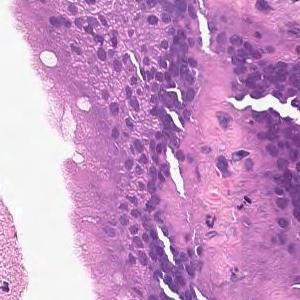
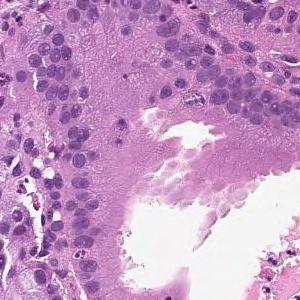
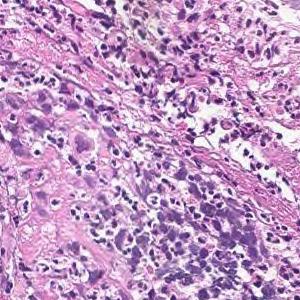
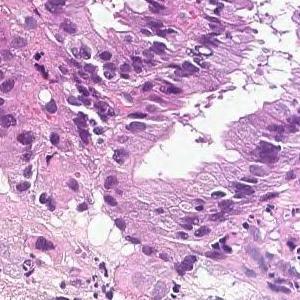
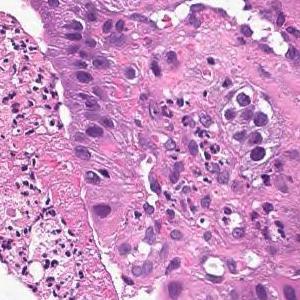
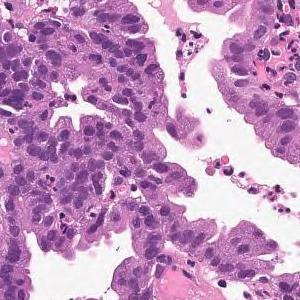
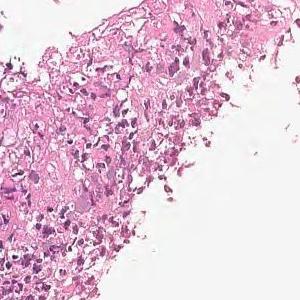
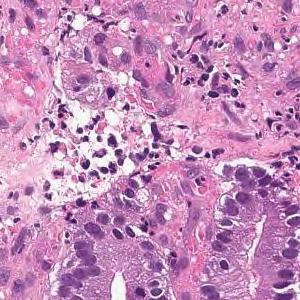
8 tiles cut from one stomach biopsy slide; each 300 × 300 pixels; 20× magnification; hematoxylin and eosin stain.
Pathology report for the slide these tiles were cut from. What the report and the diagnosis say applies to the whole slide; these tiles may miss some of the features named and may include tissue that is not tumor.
From the superficial epithelium to the muscularis mucosae, tumor tissue consisting of medium-sized and irregular glandular ducts infiltrating is observed. Well differentiated tubular adenocarcinoma
